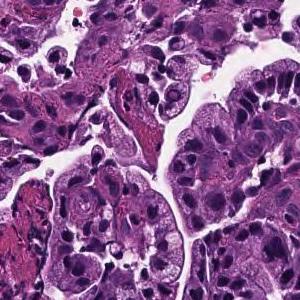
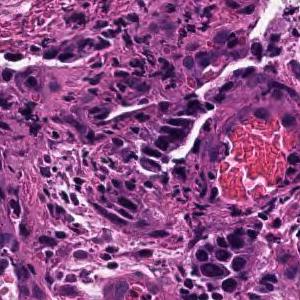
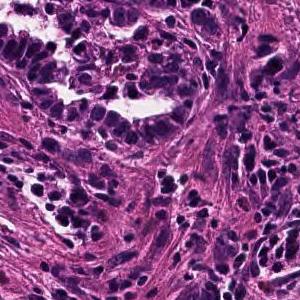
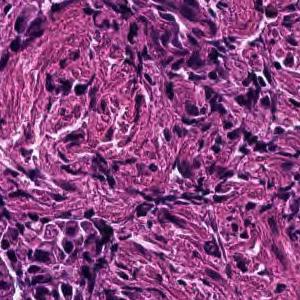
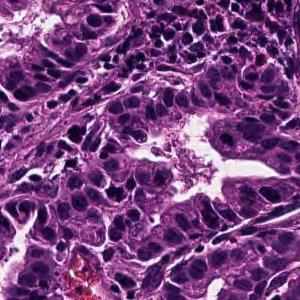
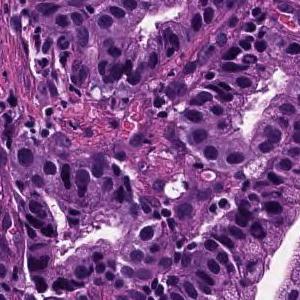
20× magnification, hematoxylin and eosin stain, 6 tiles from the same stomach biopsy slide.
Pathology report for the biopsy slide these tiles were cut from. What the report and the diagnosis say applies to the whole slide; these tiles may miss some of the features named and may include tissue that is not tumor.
Tumor cells are large, highly columnar, large club-shaped nuclei, and are associated with chromatin aggregation. Papillary adenocarcinoma.
